H&E; scanned at ×20; 13 patches cut from one gastric biopsy slide; 300 × 300 pixels each.
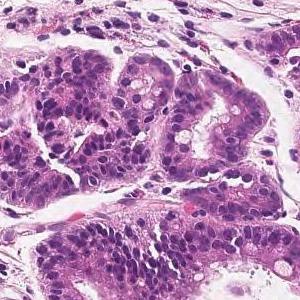
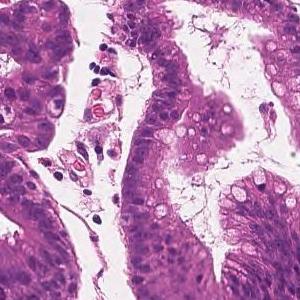
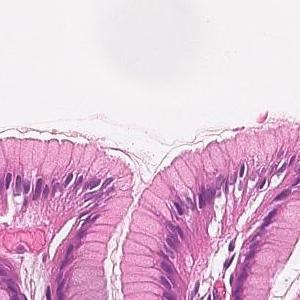
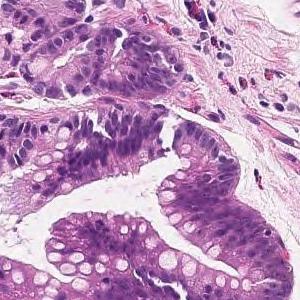
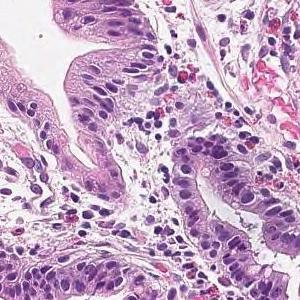
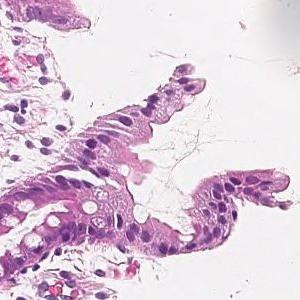
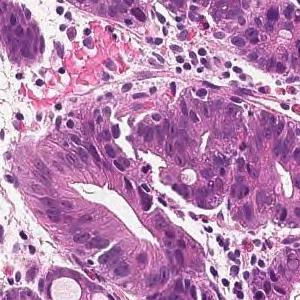
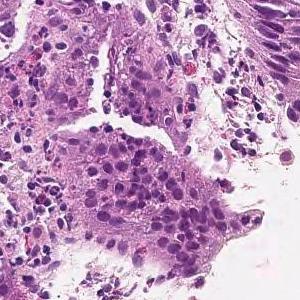
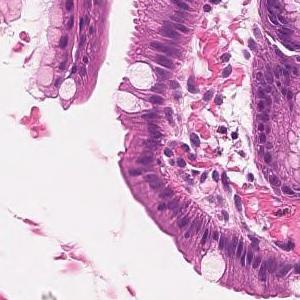
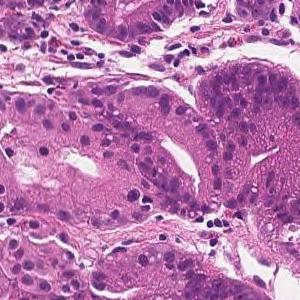
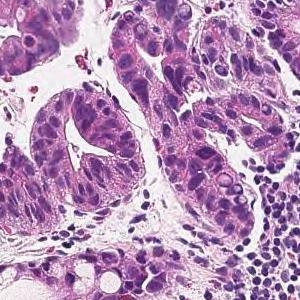
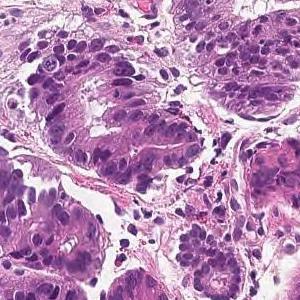
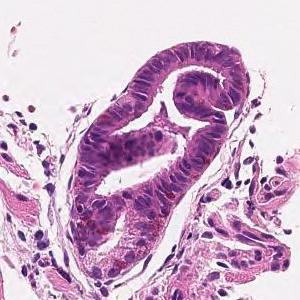
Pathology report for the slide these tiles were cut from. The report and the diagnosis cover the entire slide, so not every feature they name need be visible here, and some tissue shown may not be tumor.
From the superficial epithelium to the muscularis mucosae, tumor tissue consisting of medium-sized and irregular glandular ducts infiltrating is observed. Well differentiated tubular adenocarcinoma
